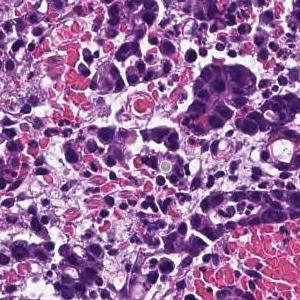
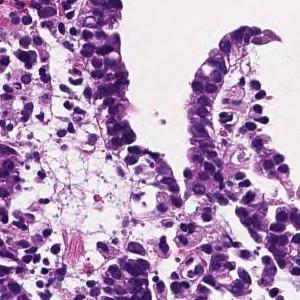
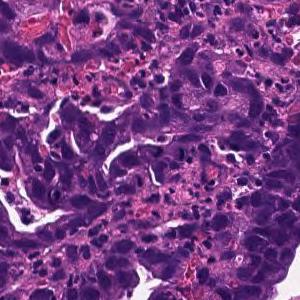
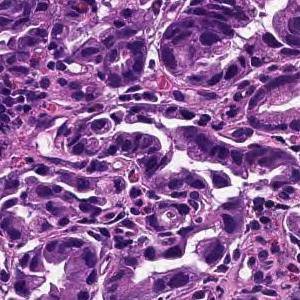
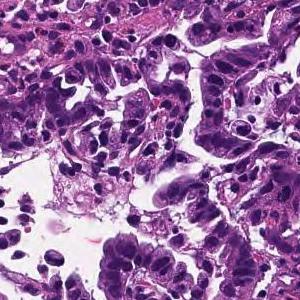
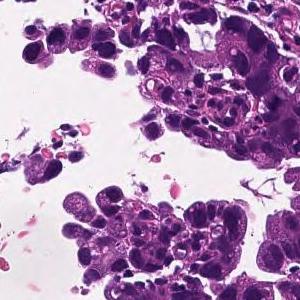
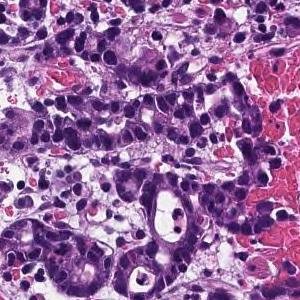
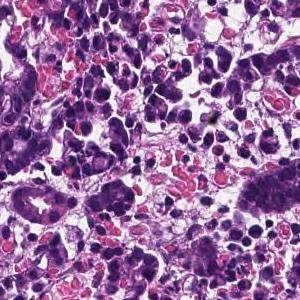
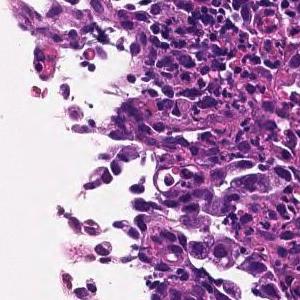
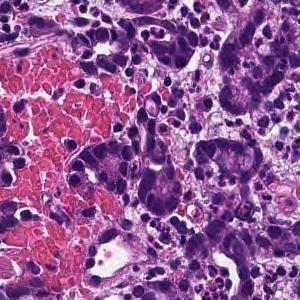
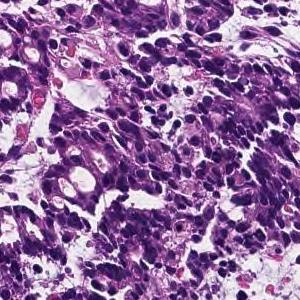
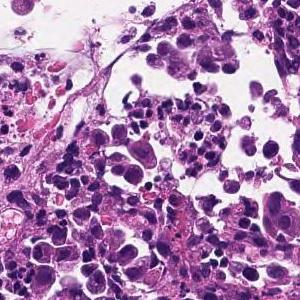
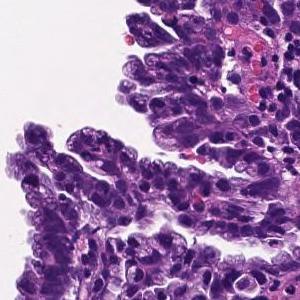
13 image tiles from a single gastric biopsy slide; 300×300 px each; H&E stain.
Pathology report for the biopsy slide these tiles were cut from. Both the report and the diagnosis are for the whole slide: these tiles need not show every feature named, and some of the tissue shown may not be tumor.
In the superficial epithelium, tumor tissue that invades by forming medium-sized to small, irregular ducts is observed. moderately differentiated tubular adenocarcinoma.
